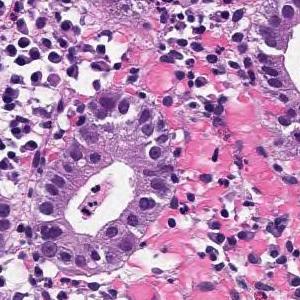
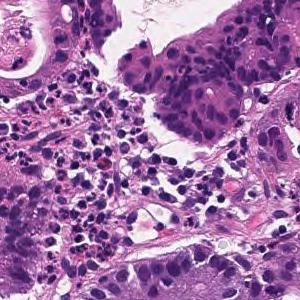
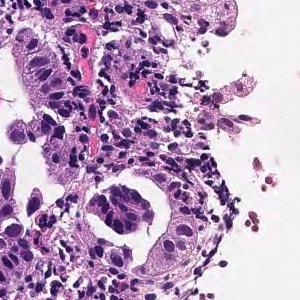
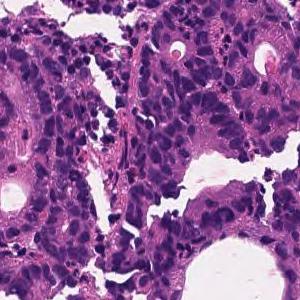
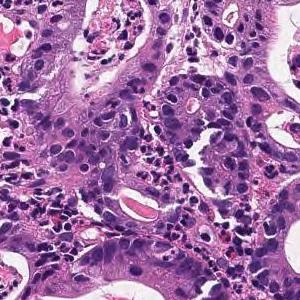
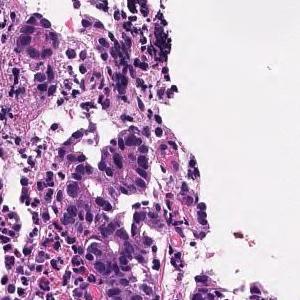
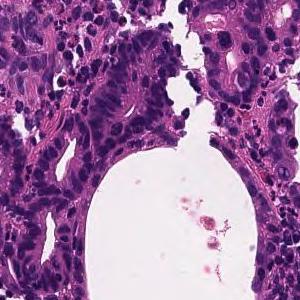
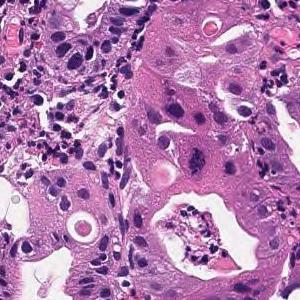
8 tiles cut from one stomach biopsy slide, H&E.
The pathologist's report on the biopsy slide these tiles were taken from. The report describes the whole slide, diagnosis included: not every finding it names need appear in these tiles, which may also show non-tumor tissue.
In the superficial epithelium, tumor tissue that invades by forming medium-sized to small, irregular ducts is observed. moderately differentiated tubular adenocarcinoma.
